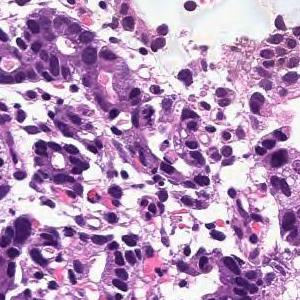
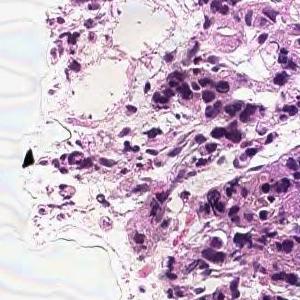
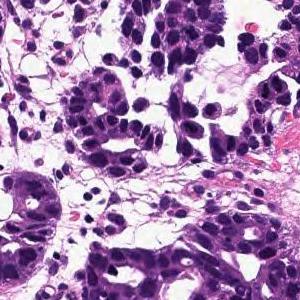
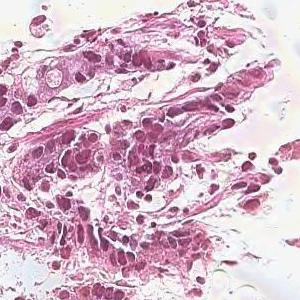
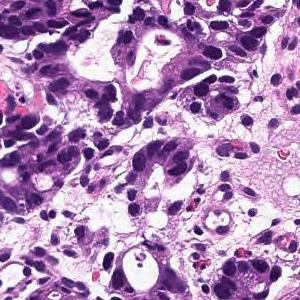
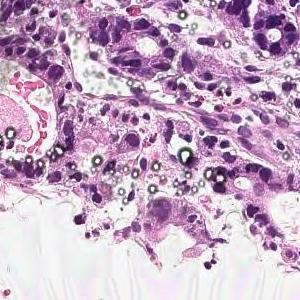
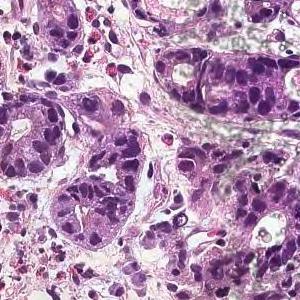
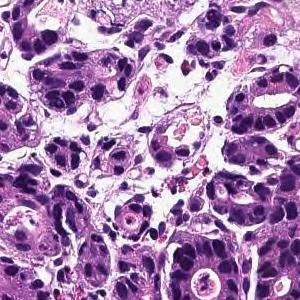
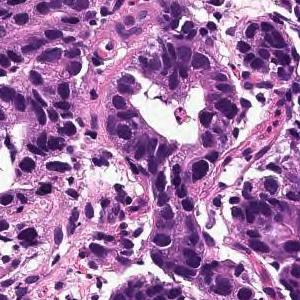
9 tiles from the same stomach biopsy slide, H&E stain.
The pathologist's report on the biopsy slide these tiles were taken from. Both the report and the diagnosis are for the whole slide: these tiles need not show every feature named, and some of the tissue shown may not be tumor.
In the superficial epithelium, tumor tissue that invades by forming medium-sized to small, irregular ducts is observed. moderately differentiated tubular adenocarcinoma.
